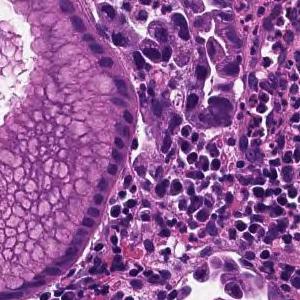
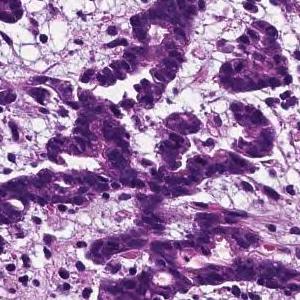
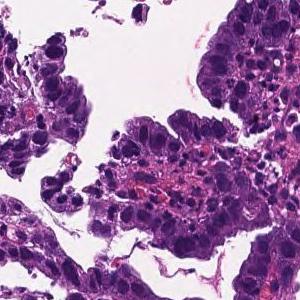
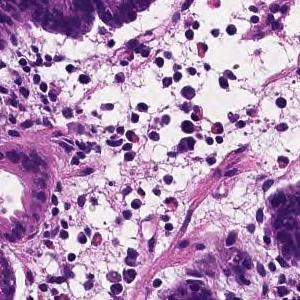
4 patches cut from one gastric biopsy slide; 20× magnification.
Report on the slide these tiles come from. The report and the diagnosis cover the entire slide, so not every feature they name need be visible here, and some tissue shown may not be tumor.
In the superficial epithelium, tumor tissue that invades by forming medium-sized to small, irregular ducts is observed. moderately differentiated tubular adenocarcinoma.
